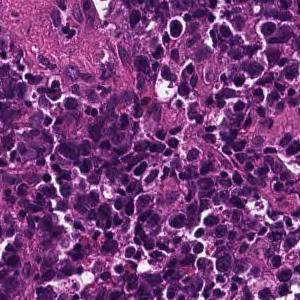
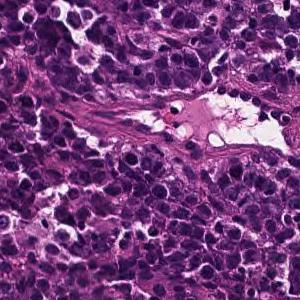
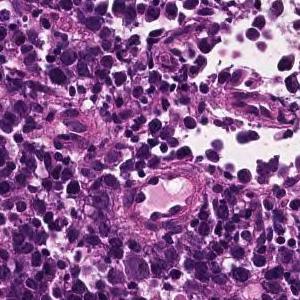
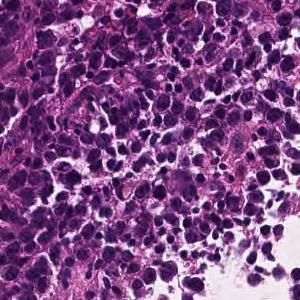
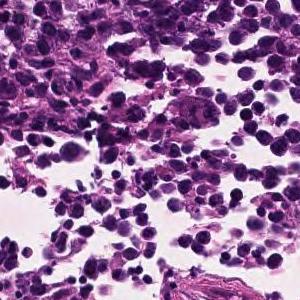
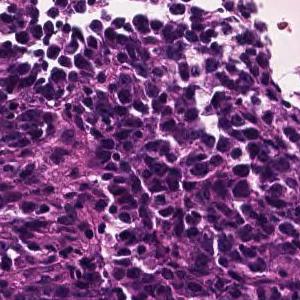
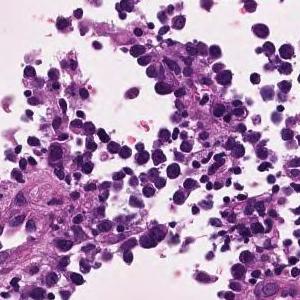
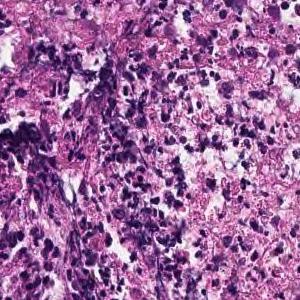
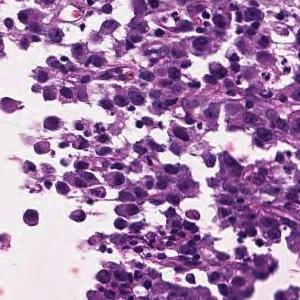
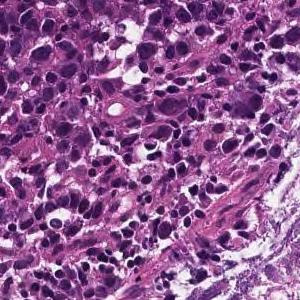
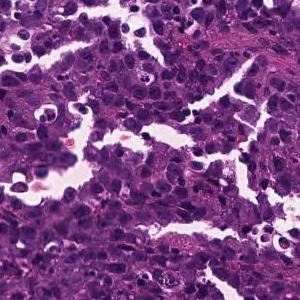
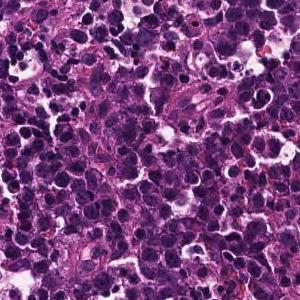
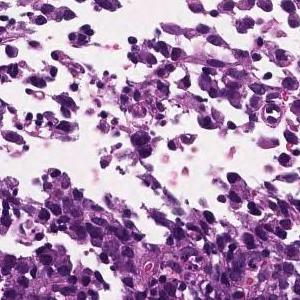
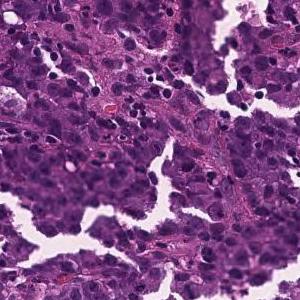
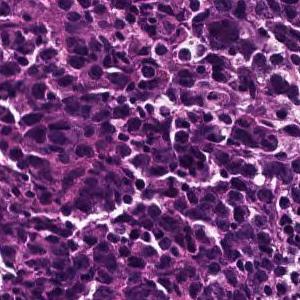
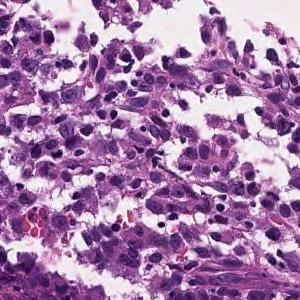
H&E; ×20; 16 tiles cut from one stomach biopsy slide.
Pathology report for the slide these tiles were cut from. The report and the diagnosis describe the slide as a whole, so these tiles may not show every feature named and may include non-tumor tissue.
The superficial epithelium shows a large sheet-like shape, and some tumor tissue infiltrates with small irregular ducts. Poorly differentiated adenocarcinoma, solid-type
Subtype: Poorly differentiated adenocarcinoma, solid type (Japanese Classification of Gastric Carcinoma). The WHO 2019 equivalent is tubular adenocarcinoma, poorly differentiated.
